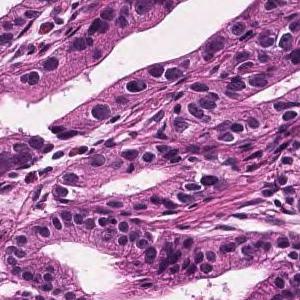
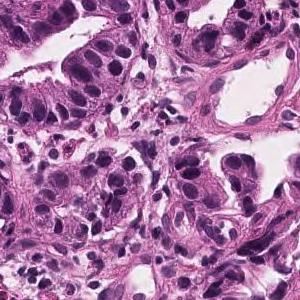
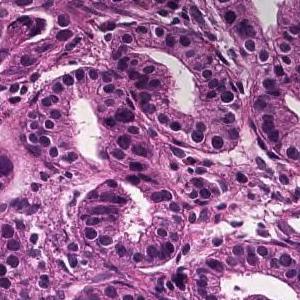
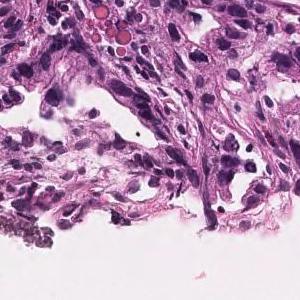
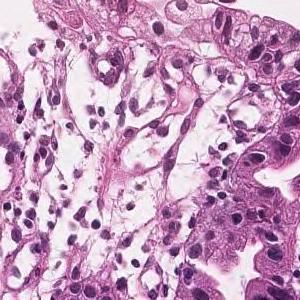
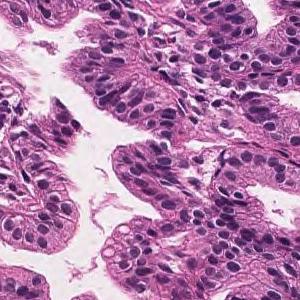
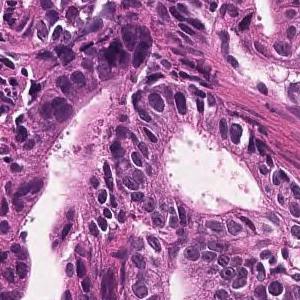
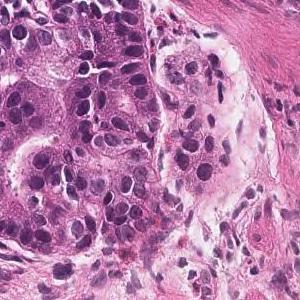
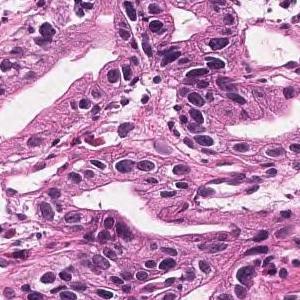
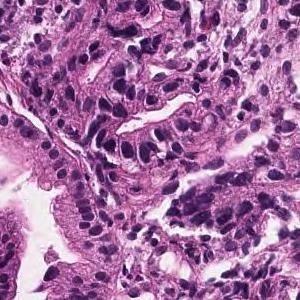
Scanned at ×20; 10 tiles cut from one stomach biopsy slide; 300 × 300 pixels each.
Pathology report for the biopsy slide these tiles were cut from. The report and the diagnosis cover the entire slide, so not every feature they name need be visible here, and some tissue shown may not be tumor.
Tumor tissue consisting of medium-sized and irregular ducts is observed infiltrating in the superficial epithelium. Tumor cells are highly columnar, with nuclei aligned basolaterally and polarized. Well differentiated tubular adenocarcinoma.
